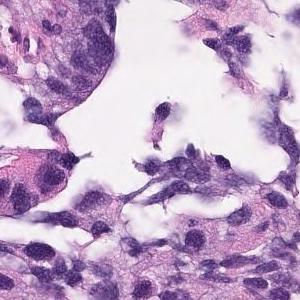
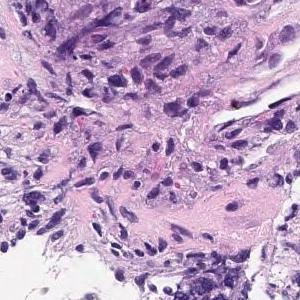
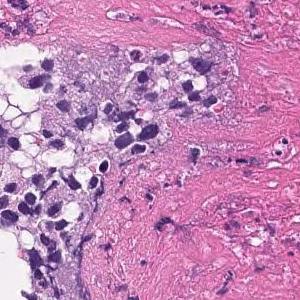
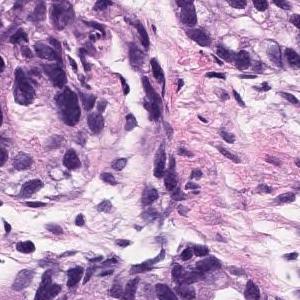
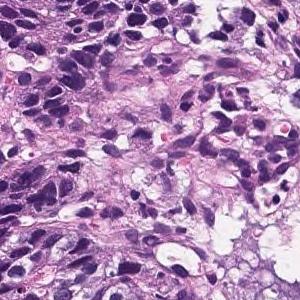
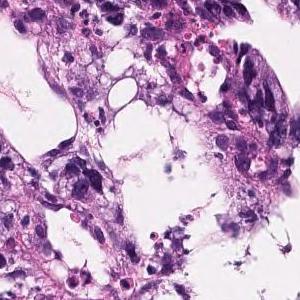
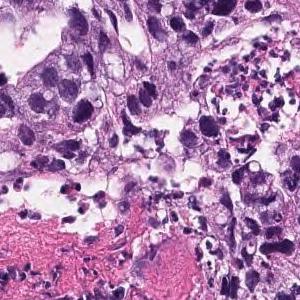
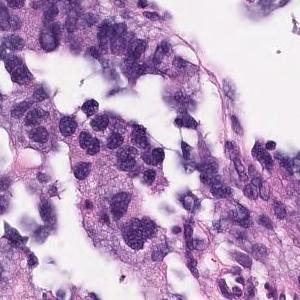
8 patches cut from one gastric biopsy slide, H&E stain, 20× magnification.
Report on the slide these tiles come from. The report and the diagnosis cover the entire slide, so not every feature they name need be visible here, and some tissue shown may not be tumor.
Medium to small, irregular glandular ducts are formed in the superficial epithelium, and in some cases, the glandular ducts are fused to show solid alveolar lesions and infiltrating tumor tissue is observed. Moderately to poorly differentiated adenocarcinoma.
